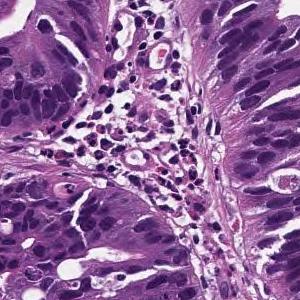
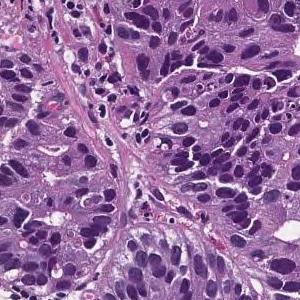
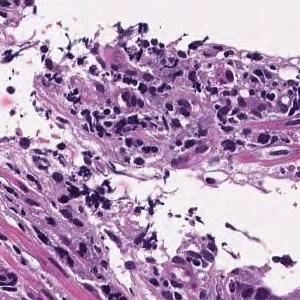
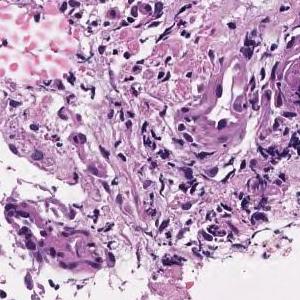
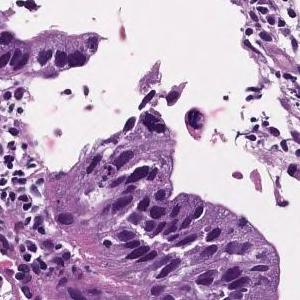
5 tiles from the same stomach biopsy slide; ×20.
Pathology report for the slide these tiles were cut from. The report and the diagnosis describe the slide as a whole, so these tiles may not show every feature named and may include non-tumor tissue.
Tumor cells are large, highly columnar, large club-shaped nuclei, and are associated with chromatin aggregation. Papillary adenocarcinoma.
